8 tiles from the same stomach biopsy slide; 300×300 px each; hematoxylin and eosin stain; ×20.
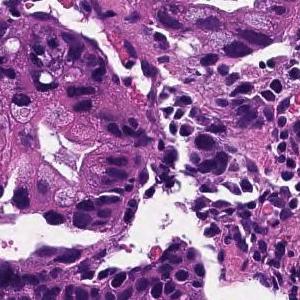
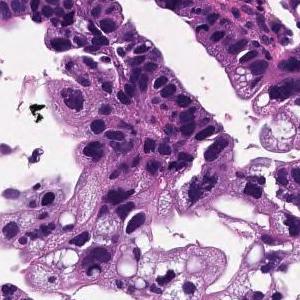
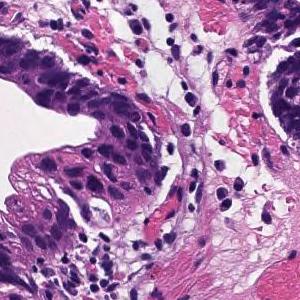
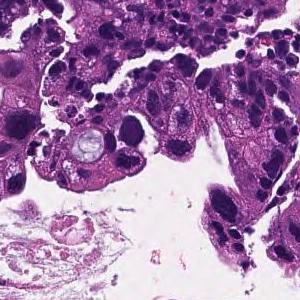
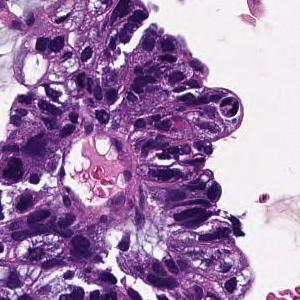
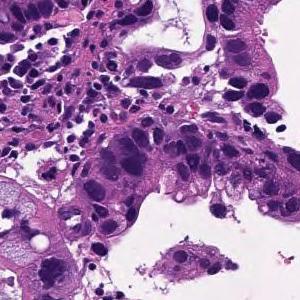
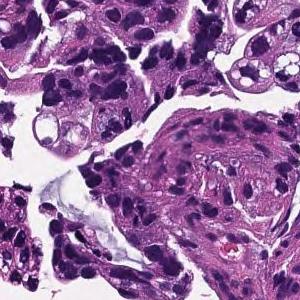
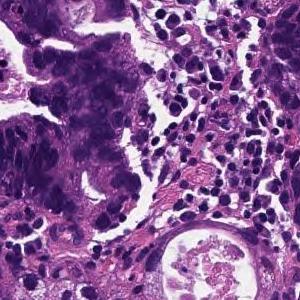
The pathologist's report on the biopsy slide these tiles were taken from. What the report and the diagnosis say applies to the whole slide; these tiles may miss some of the features named and may include tissue that is not tumor.
In the superficial epithelium, tumor tissue that invades by forming medium-sized to small, irregular ducts is observed. moderately differentiated tubular adenocarcinoma.
